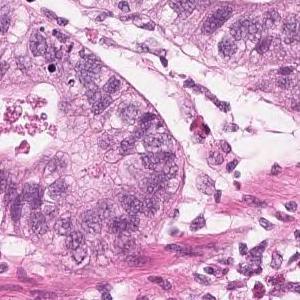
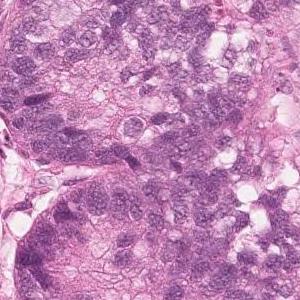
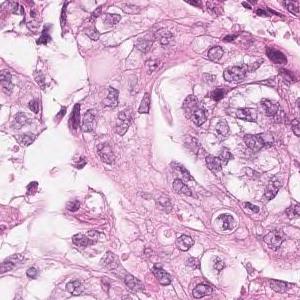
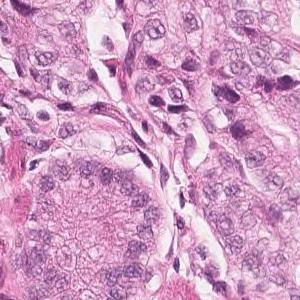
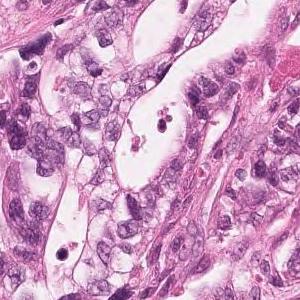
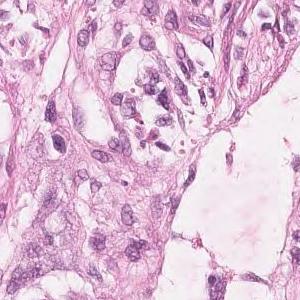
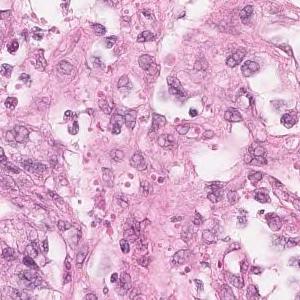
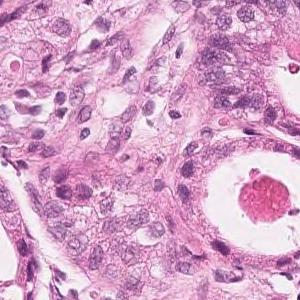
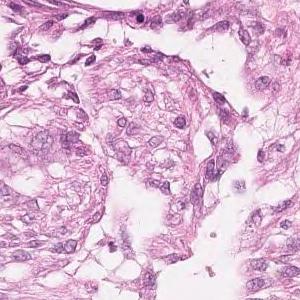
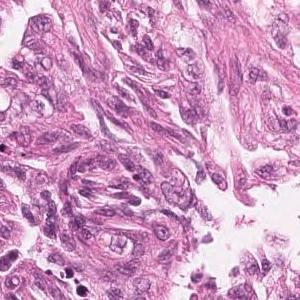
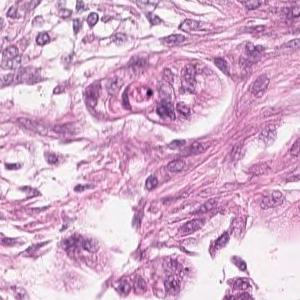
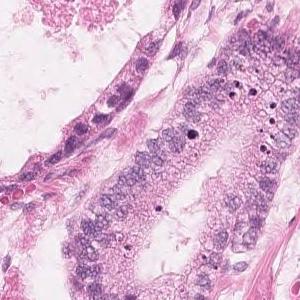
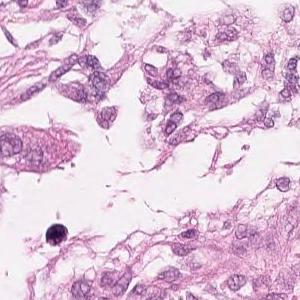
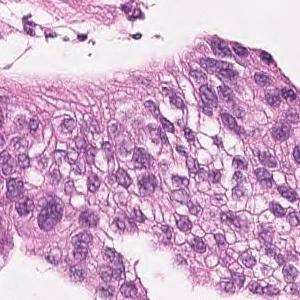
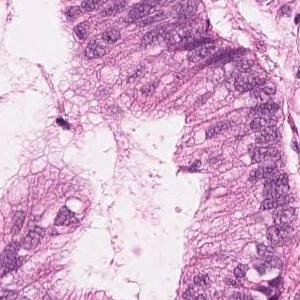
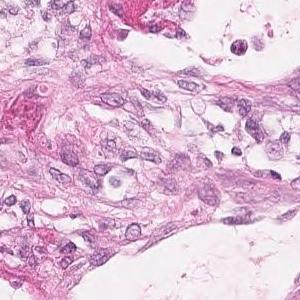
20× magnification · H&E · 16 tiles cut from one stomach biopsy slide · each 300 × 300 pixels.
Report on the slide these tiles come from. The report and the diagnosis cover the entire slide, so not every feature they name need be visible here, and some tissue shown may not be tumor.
Highly columnar epithelium with disordered nuclear localization proliferates showing fusion ductal construction. moderately differentiated tubular adenocarcinoma
